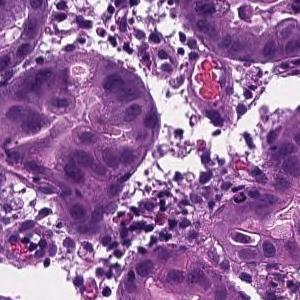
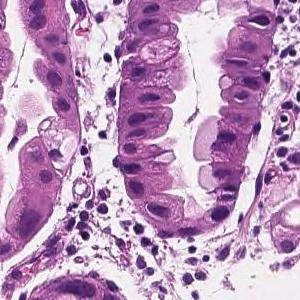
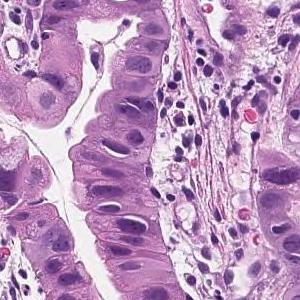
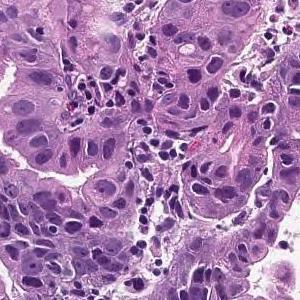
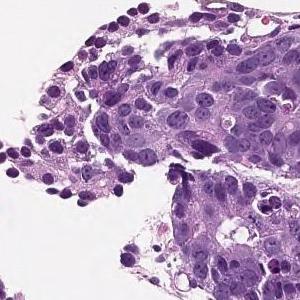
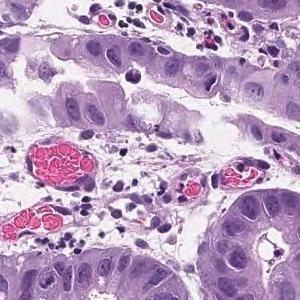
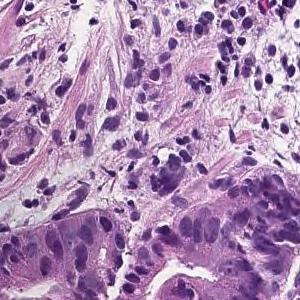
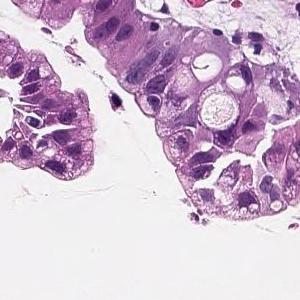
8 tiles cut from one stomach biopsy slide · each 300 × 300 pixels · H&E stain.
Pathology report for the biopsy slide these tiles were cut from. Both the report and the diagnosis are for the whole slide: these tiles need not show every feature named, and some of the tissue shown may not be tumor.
On the superficial epithelium, tumor tissue that infiltrates by forming medium-sized papillary or small irregular ducts is observed. Papillary adenocarcinoma
